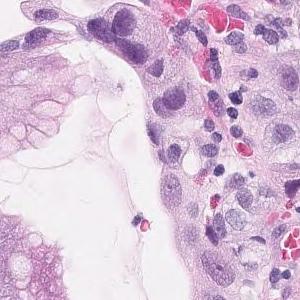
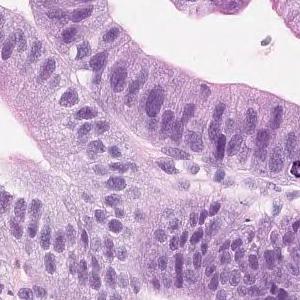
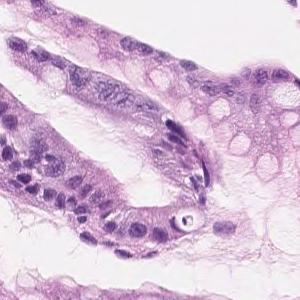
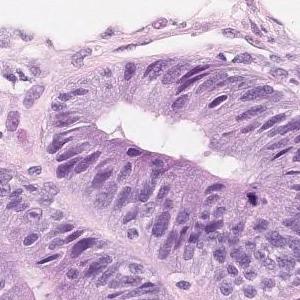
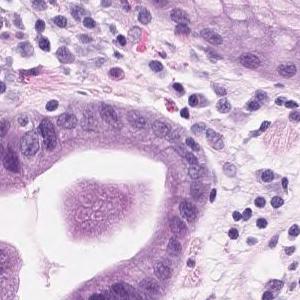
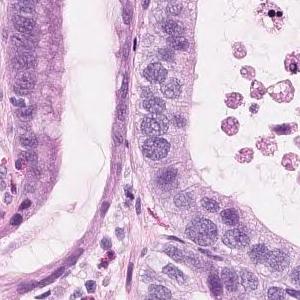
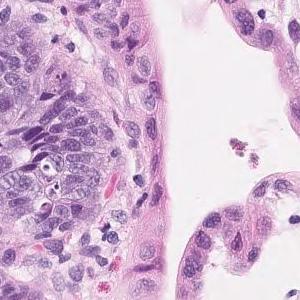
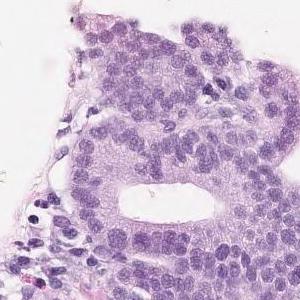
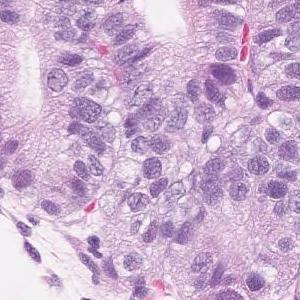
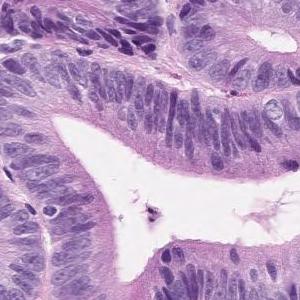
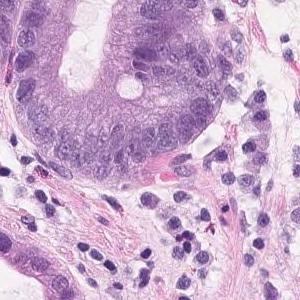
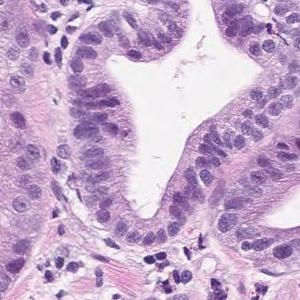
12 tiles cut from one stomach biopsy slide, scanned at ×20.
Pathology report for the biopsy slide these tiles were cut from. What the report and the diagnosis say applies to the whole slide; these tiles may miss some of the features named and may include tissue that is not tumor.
Short atypical epithelium with swelling of the nucleus shows proliferating, large and small irregular ductal structures. Well to moderately differentiated tubular adenocarcinoma (well differentiated tubular adenocarcinoma-moderately differentiated tubular adenocarcinoma)
Subtype: Well to moderately differentiated tubular adenocarcinoma.
